Hematoxylin and eosin stain, 6 image tiles from a single gastric biopsy slide, 300×300 px each.
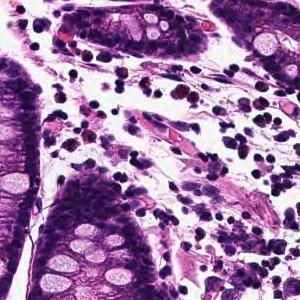
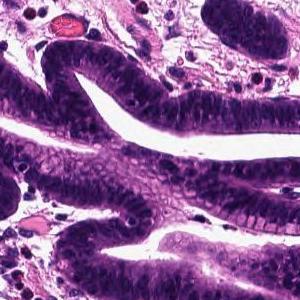
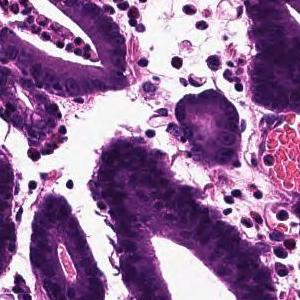
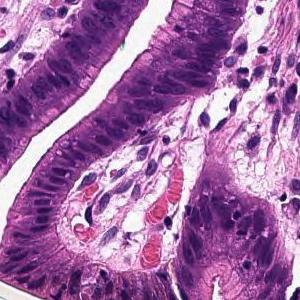
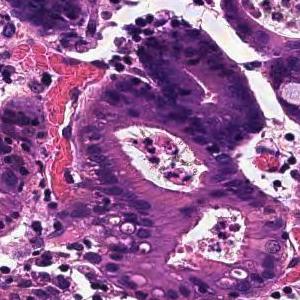
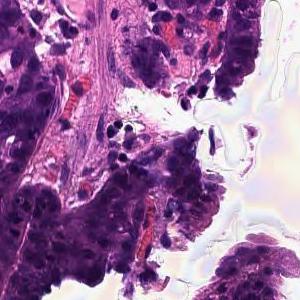
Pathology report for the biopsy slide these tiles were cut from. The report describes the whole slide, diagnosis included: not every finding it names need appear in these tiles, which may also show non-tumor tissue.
Tumor tissue that infiltrates by forming large papillary or large irregular glandular ducts is observed confined to the mucosa. Papillary adenocarcinoma
